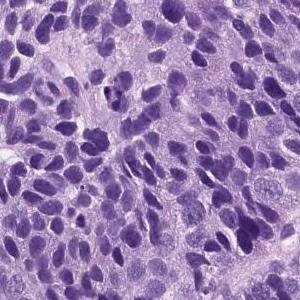
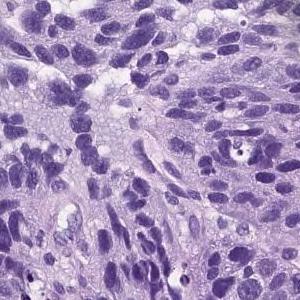
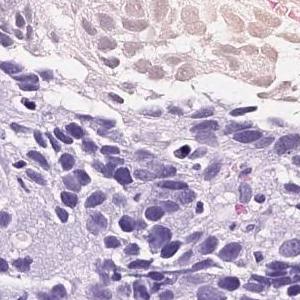
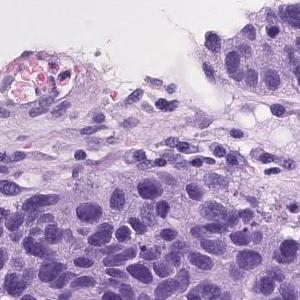
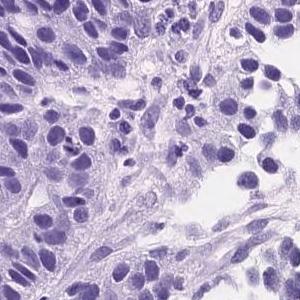
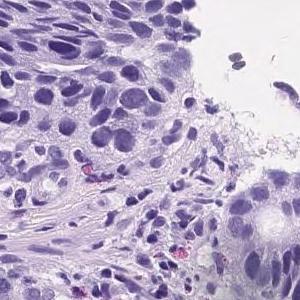
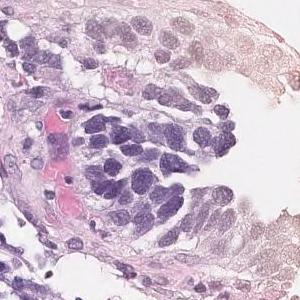
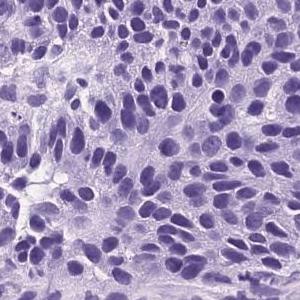
8 patches cut from one gastric biopsy slide.
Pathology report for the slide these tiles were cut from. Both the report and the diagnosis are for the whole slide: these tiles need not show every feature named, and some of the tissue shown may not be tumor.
Atypical cells with atypical nuclei forming small irregular atypical ducts and growing in a conformative manner. moderately differentiated tubular adenocarcinoma
Labeled in the dataset as moderately to poorly differentiated adenocarcinoma.
